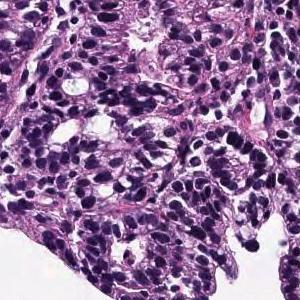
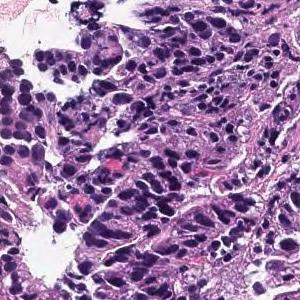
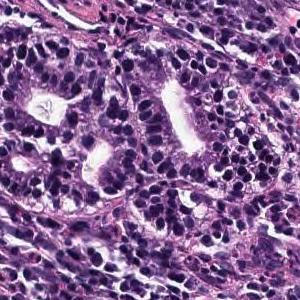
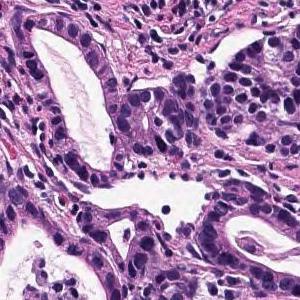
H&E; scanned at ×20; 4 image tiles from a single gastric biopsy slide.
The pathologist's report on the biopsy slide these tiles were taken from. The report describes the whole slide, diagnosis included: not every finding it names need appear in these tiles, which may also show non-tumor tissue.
Neoplastic cells with atypical nuclei of different sizes exhibit tubular glands and infiltrate and proliferate. Moderately differentiated tubular adenocarcinoma.
